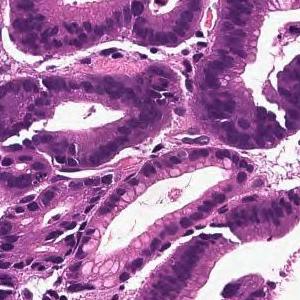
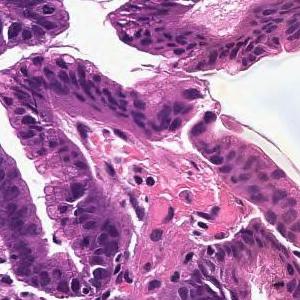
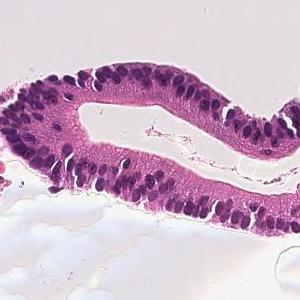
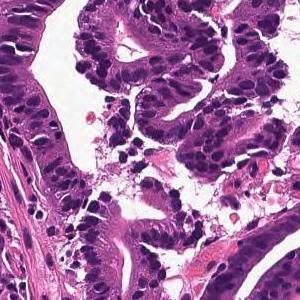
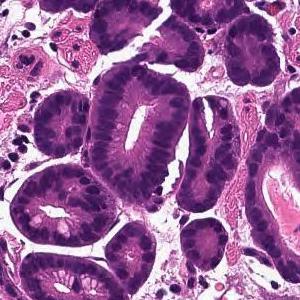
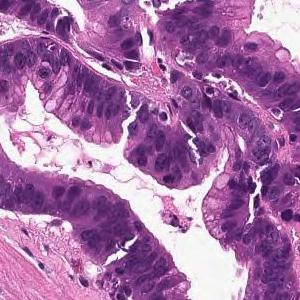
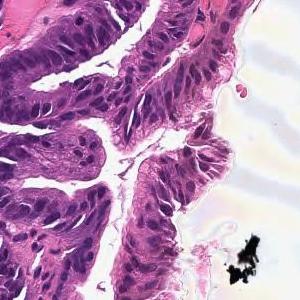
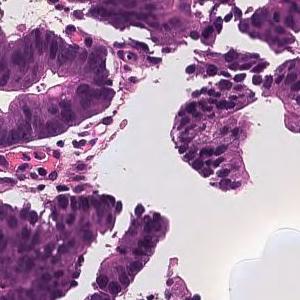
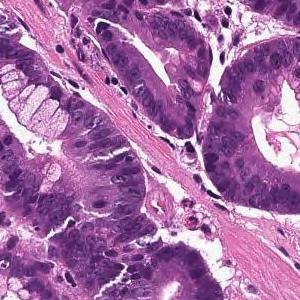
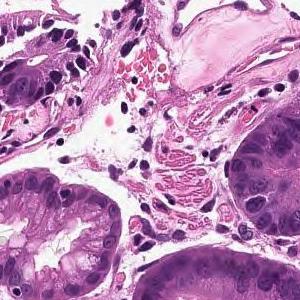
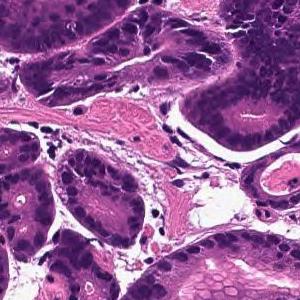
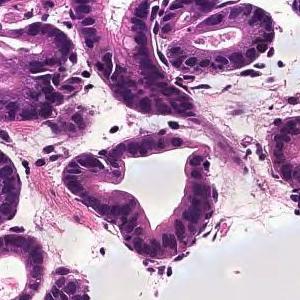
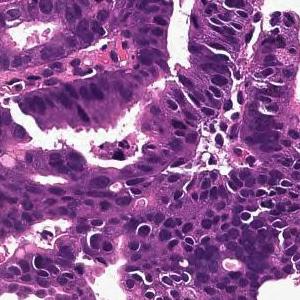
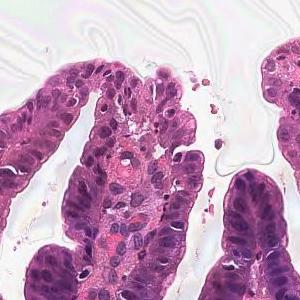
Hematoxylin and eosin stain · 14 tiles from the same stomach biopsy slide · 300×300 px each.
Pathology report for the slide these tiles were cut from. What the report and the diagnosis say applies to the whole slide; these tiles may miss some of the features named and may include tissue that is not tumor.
From the superficial epithelium to the muscularis mucosae, tumor tissue consisting of medium-sized and irregular glandular ducts infiltrating is observed. Well differentiated tubular adenocarcinoma
